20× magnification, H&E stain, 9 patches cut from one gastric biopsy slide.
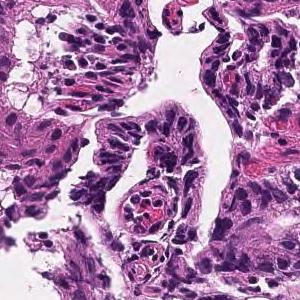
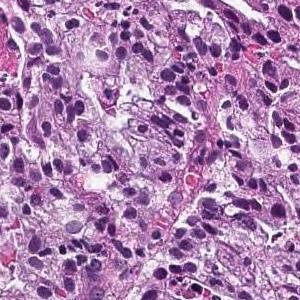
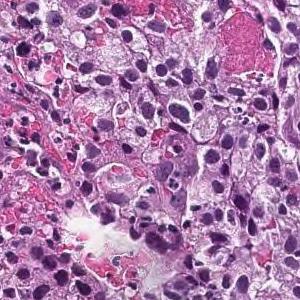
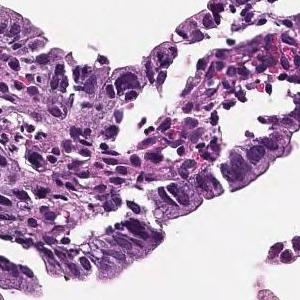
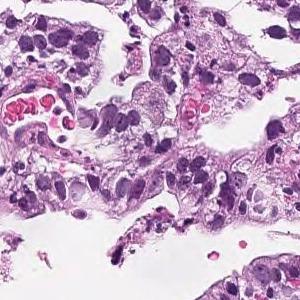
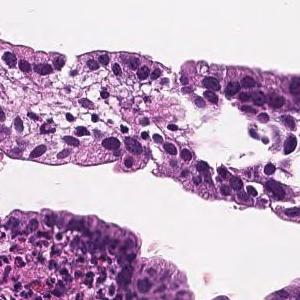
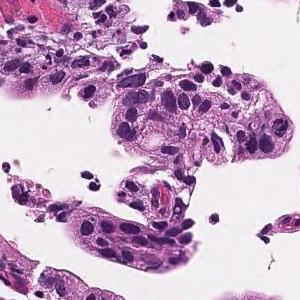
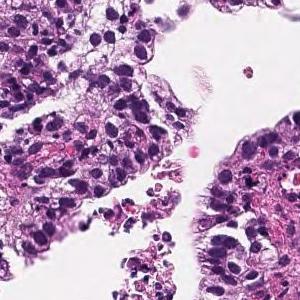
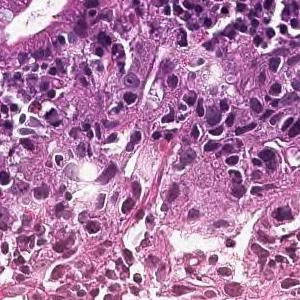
Pathology report for the biopsy slide these tiles were cut from. The report and the diagnosis cover the entire slide, so not every feature they name need be visible here, and some tissue shown may not be tumor.
Tumor tissue consisting of medium-sized, cord-like or irregular glandular infiltration is observed in the superficial epithelium. Poorly differentiated adenocarcinoma, non-solid type or moderately differentiated tubular adenocarcinoma
Histological subtype: Moderately to poorly differentiated adenocarcinoma.
The non-solid type named here is a Japanese Classification of Gastric Carcinoma category.
